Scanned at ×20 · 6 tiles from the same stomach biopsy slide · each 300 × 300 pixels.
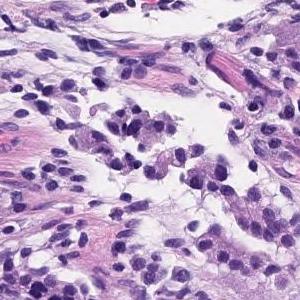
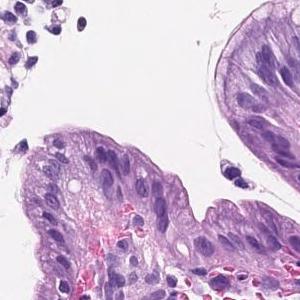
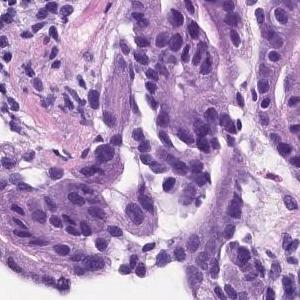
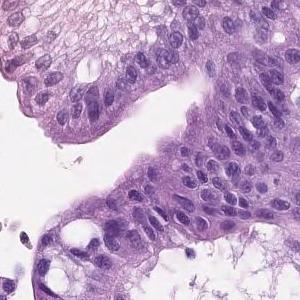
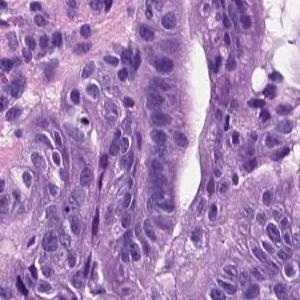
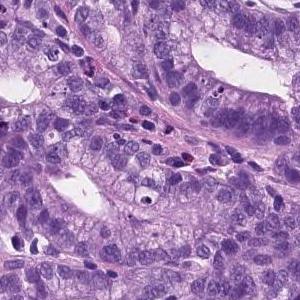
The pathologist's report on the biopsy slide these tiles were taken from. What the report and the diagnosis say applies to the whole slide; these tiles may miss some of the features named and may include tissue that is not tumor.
Tumor tissue consisting of medium-sized and irregular ducts is observed infiltrating in the superficial epithelium. Tumor cells are highly columnar, with nuclei aligned basolaterally and polarized. Well differentiated tubular adenocarcinoma.
